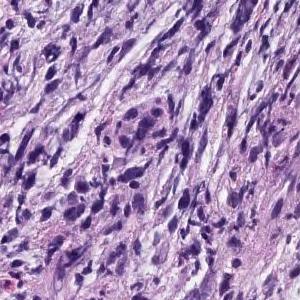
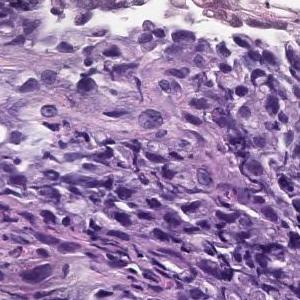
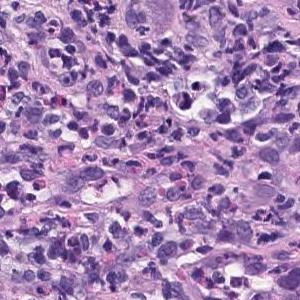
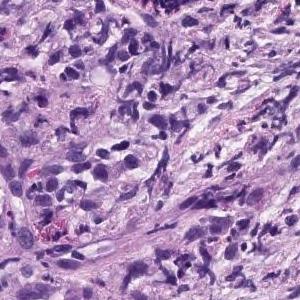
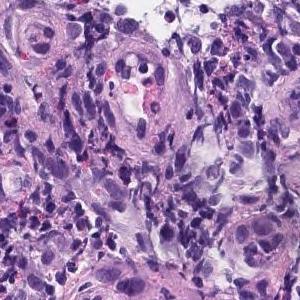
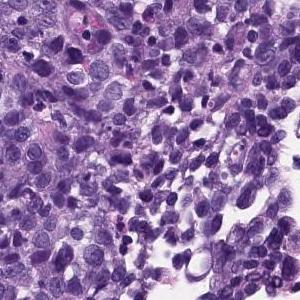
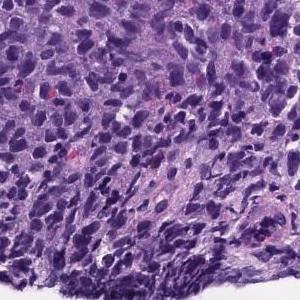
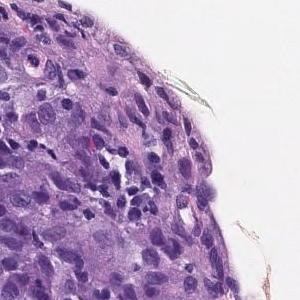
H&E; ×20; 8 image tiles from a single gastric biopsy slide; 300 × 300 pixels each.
Report on the slide these tiles come from. The report and the diagnosis describe the slide as a whole, so these tiles may not show every feature named and may include non-tumor tissue.
The superficial epithelium shows a large sheet-like shape, and some tumor tissue infiltrates with small irregular ducts. Poorly differentiated adenocarcinoma, solid-type
Classified as poorly differentiated adenocarcinoma, solid type, a category of the Japanese Classification of Gastric Carcinoma; in the WHO 2019 classification it is tubular adenocarcinoma, poorly differentiated.
